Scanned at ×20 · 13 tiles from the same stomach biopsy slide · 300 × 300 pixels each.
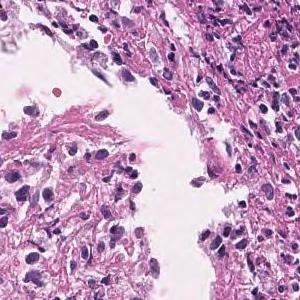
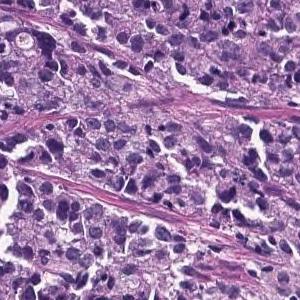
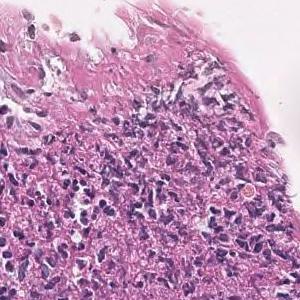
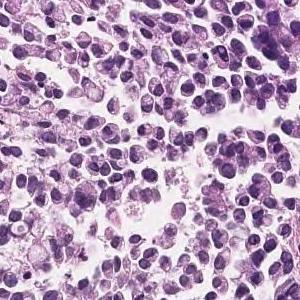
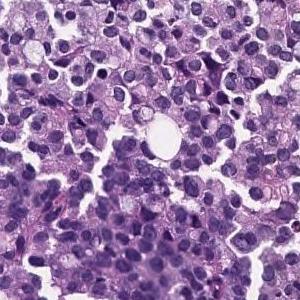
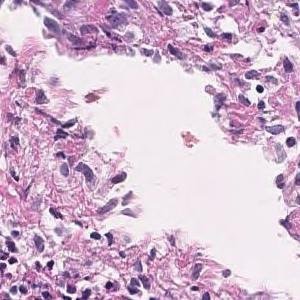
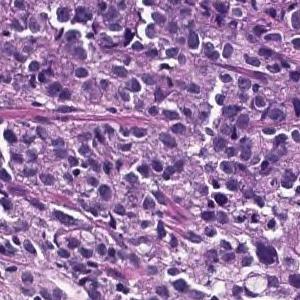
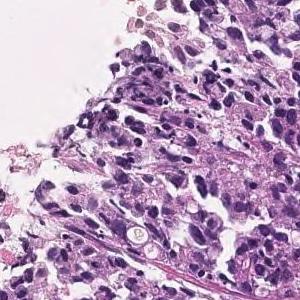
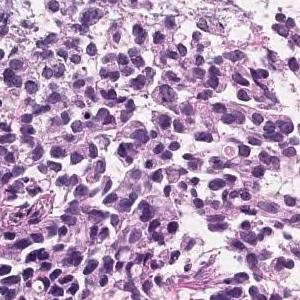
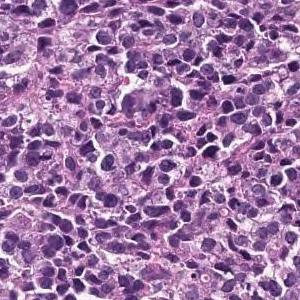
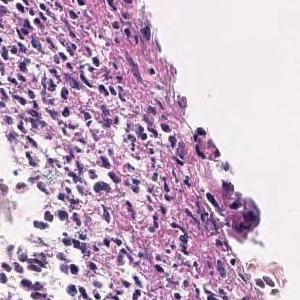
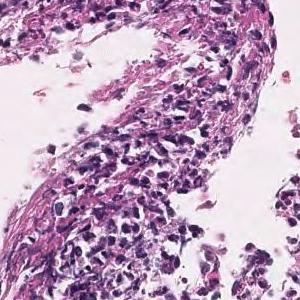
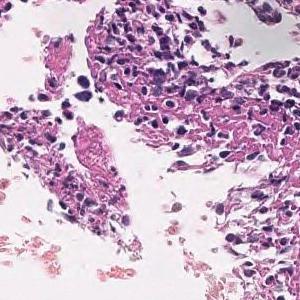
The pathologist's report on the biopsy slide these tiles were taken from. The report and the diagnosis describe the slide as a whole, so these tiles may not show every feature named and may include non-tumor tissue.
The superficial epithelium shows a large sheet-like shape, and some tumor tissue infiltrates with small irregular ducts. Poorly differentiated adenocarcinoma, solid-type
Classified as poorly differentiated adenocarcinoma, solid type (Japanese Classification of Gastric Carcinoma). The WHO 2019 equivalent is tubular adenocarcinoma, poorly differentiated.
